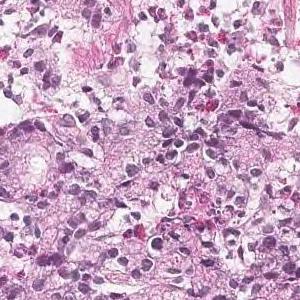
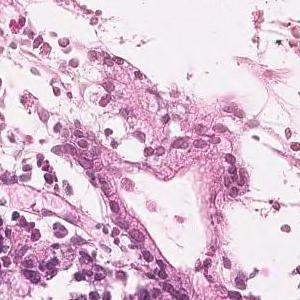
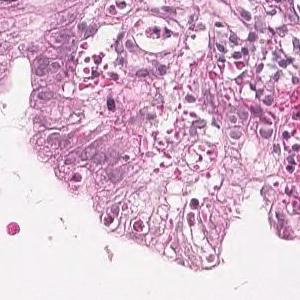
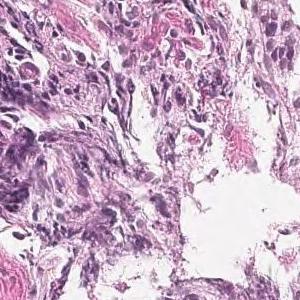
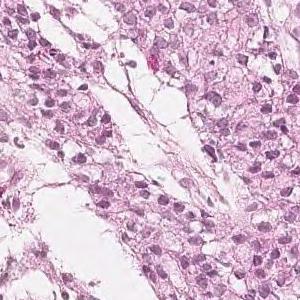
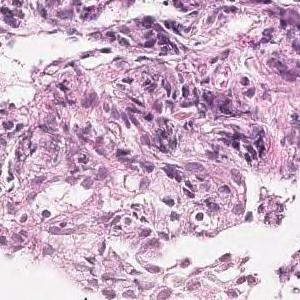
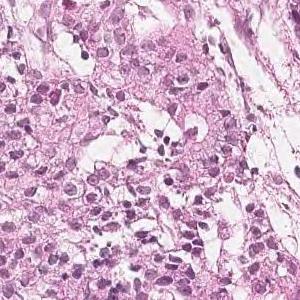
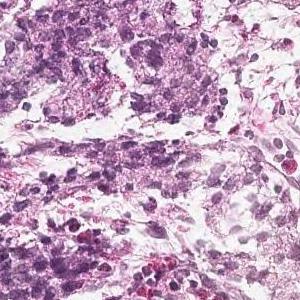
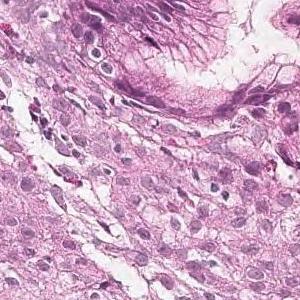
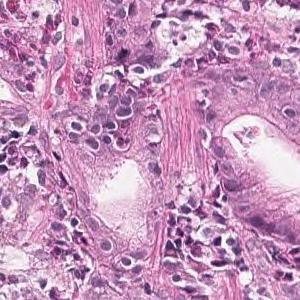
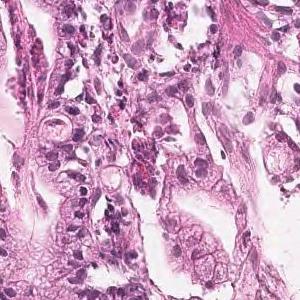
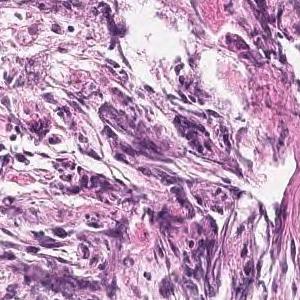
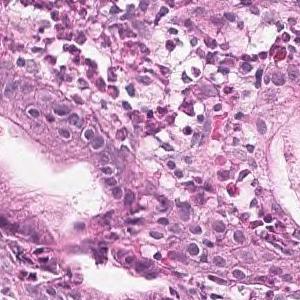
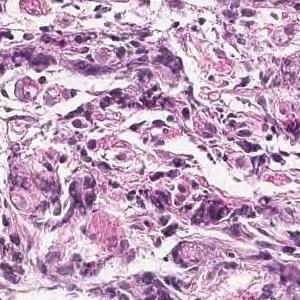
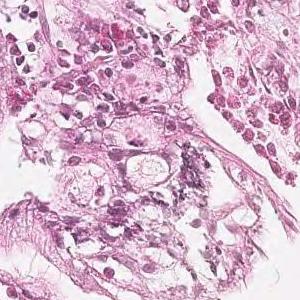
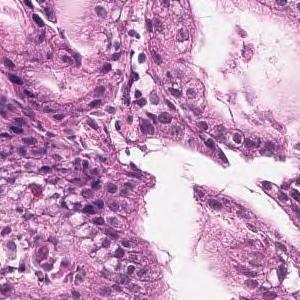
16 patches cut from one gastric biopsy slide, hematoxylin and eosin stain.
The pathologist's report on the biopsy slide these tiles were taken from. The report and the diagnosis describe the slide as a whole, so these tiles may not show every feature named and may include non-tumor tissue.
Tumor tissue consisting of medium-sized, cord-like or irregular glandular infiltration is observed in the superficial epithelium. Poorly differentiated adenocarcinoma, non-solid type or moderately differentiated tubular adenocarcinoma
The non-solid type named here is a Japanese Classification of Gastric Carcinoma category.
